9 patches cut from one gastric biopsy slide; 300×300 px each; H&E stain.
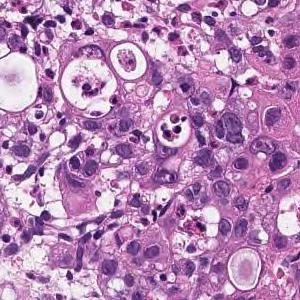
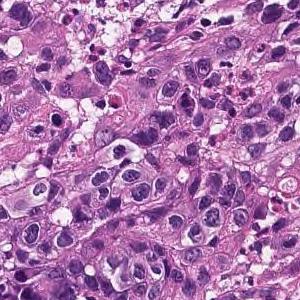
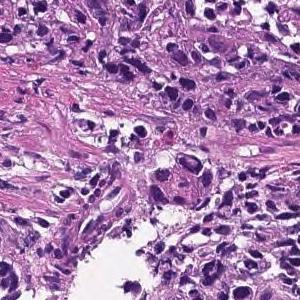
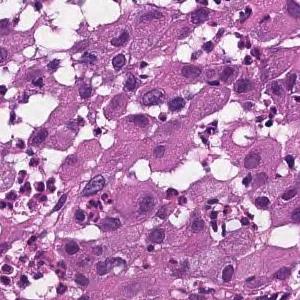
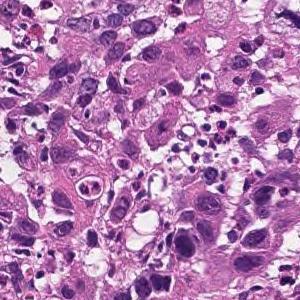
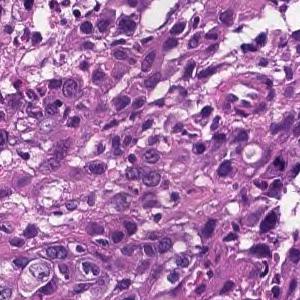
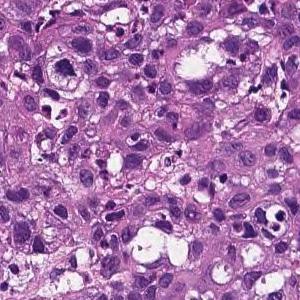
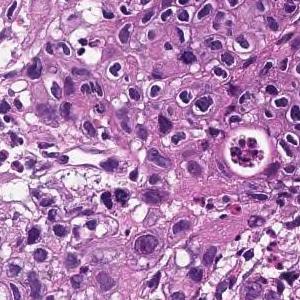
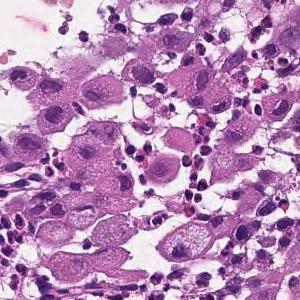
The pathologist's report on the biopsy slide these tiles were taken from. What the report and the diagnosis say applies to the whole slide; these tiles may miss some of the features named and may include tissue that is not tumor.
The superficial epithelium shows a large sheet-like shape, and some tumor tissue infiltrates with small irregular ducts. Poorly differentiated adenocarcinoma, solid-type
Subtype: Poorly differentiated adenocarcinoma, solid type. This name comes from the Japanese Classification of Gastric Carcinoma; the WHO 2019 classification calls it tubular adenocarcinoma, poorly differentiated.
